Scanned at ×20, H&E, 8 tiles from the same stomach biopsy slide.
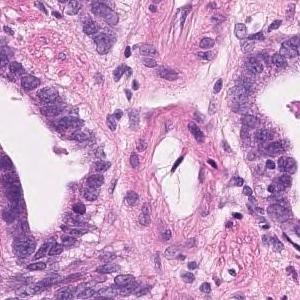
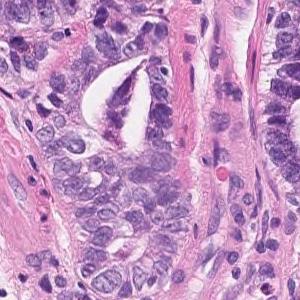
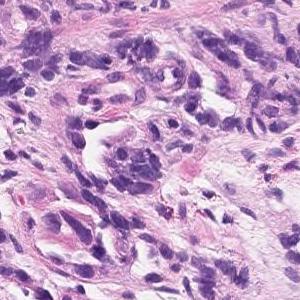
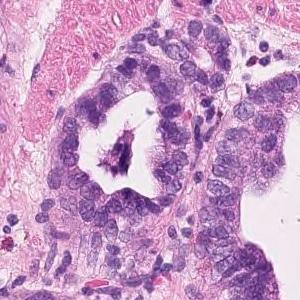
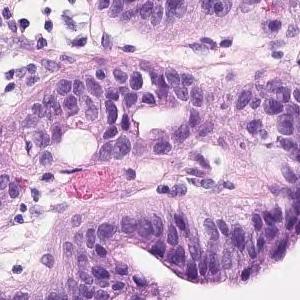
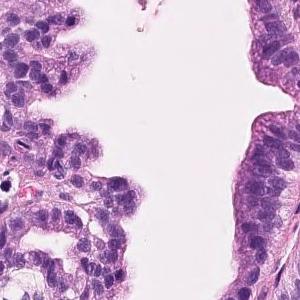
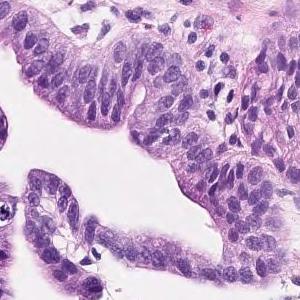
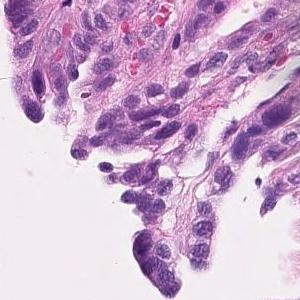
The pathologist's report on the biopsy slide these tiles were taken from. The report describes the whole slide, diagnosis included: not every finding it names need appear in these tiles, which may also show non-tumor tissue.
Tumor cells are large, highly columnar, large club-shaped nuclei, and are associated with chromatin aggregation. Papillary adenocarcinoma.
